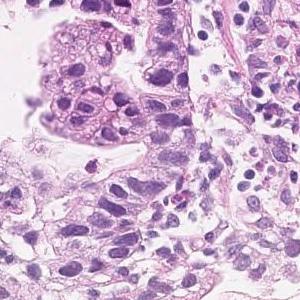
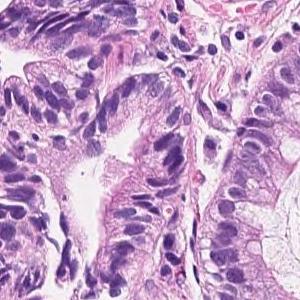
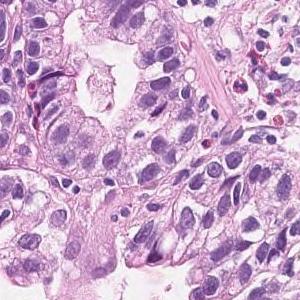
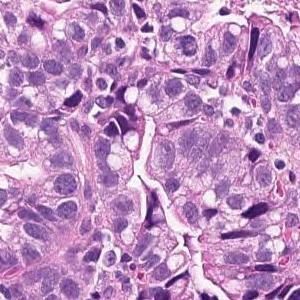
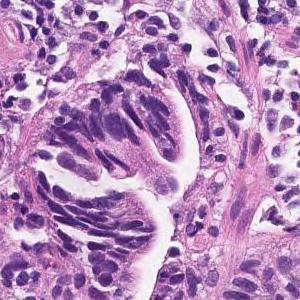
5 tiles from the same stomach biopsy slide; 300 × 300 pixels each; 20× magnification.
The pathologist's report on the biopsy slide these tiles were taken from. The report and the diagnosis cover the entire slide, so not every feature they name need be visible here, and some tissue shown may not be tumor.
On the superficial epithelium, there is a tumor tissue consisting of medium to small, irregular tubules that are partially fused and proliferated. Well to moderately differentiated tubular adenocarcinoma
